H&E stain, 6 patches cut from one gastric biopsy slide.
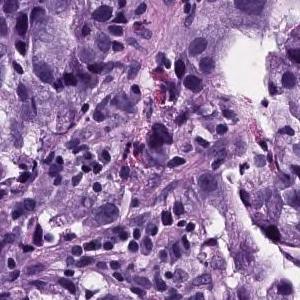
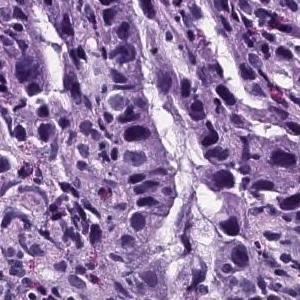
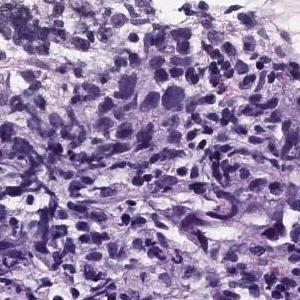
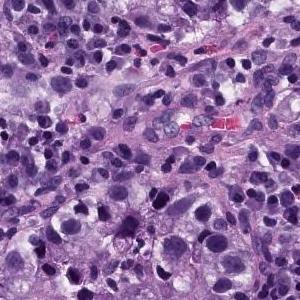
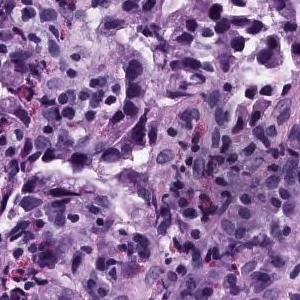
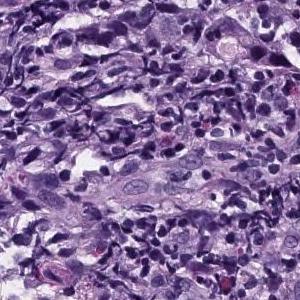
Report on the slide these tiles come from. The report describes the whole slide, diagnosis included: not every finding it names need appear in these tiles, which may also show non-tumor tissue.
Atypical epithelial cells infiltrating and proliferating while forming solid or cord-like fused glandular cavities of different sizes is observed. moderately differentiated tubular adenocarcinoma, poorly differentiated adenocarcinoma.
Histologic type: Moderately to poorly differentiated adenocarcinoma.
